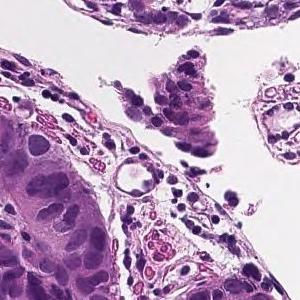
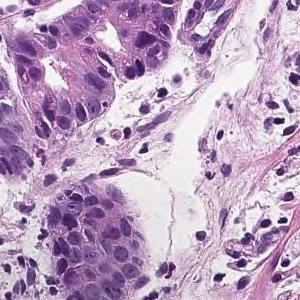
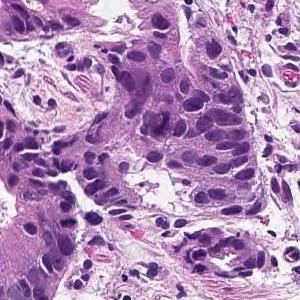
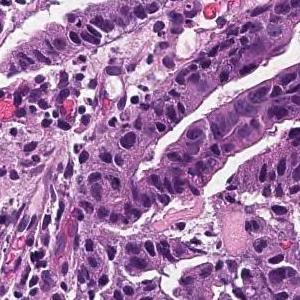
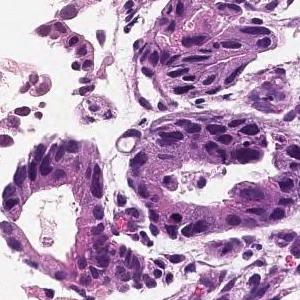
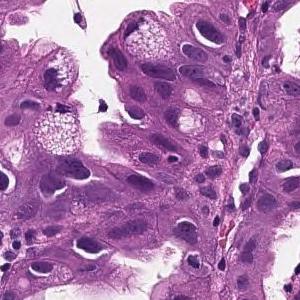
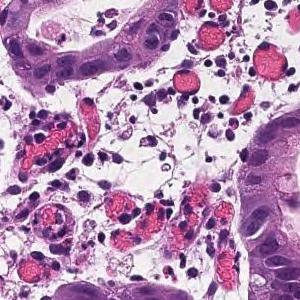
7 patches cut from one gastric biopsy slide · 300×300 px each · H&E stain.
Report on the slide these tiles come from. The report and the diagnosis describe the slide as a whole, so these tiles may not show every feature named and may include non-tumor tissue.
On the superficial epithelium, tumor tissue that infiltrates by forming medium-sized papillary or small irregular ducts is observed. Papillary adenocarcinoma
